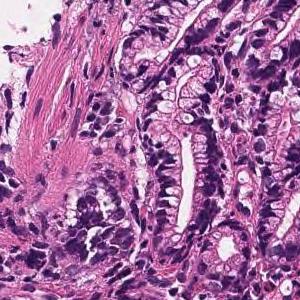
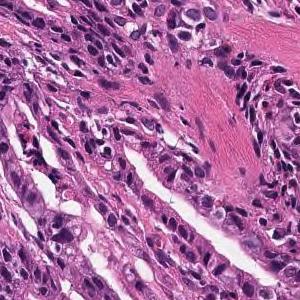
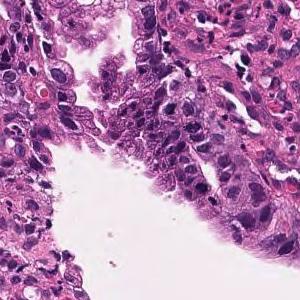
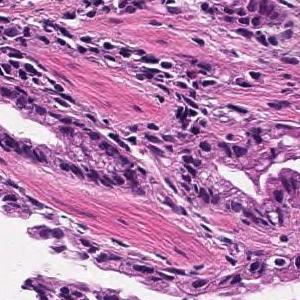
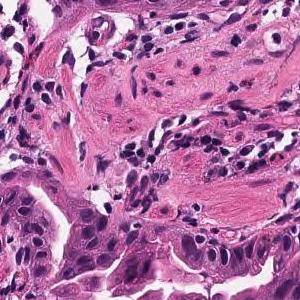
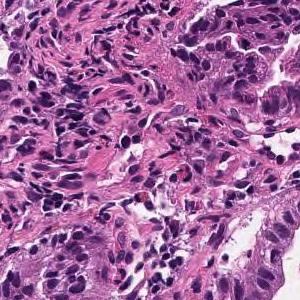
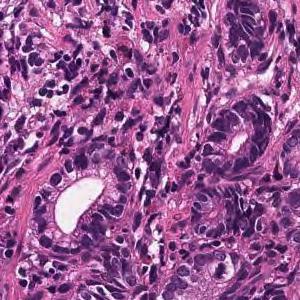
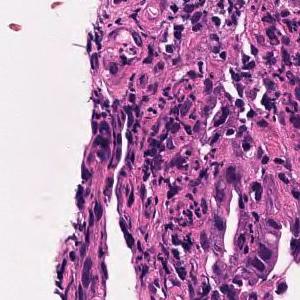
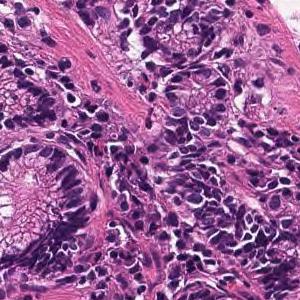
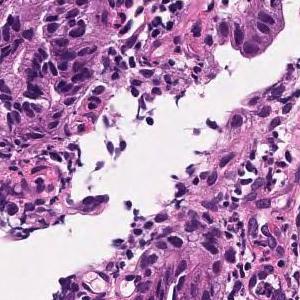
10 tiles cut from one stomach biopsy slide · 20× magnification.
Diagnostic report for the slide these tiles come from. The findings and the diagnosis refer to the entire slide; these tiles show only part of it, possibly with non-tumor tissue, and may not show every feature named.
Tumor tissue in which medium to small irregular ducts infiltrate and proliferate in the submucosa can be seen in the epithelium. Well differentiated tubular adenocarcinoma
